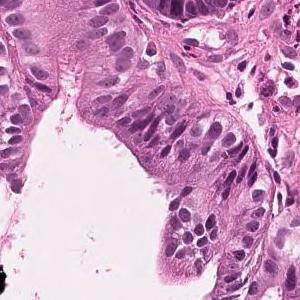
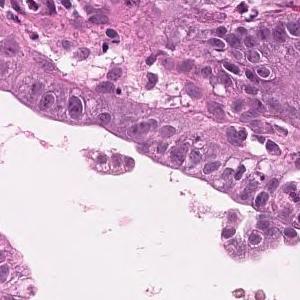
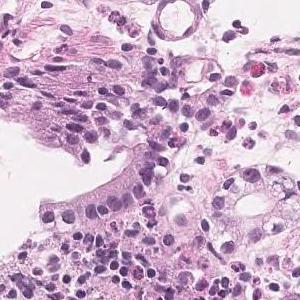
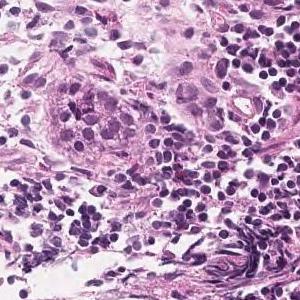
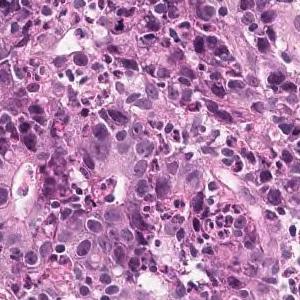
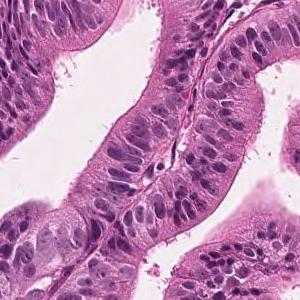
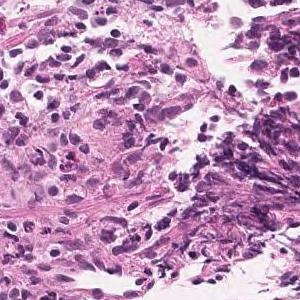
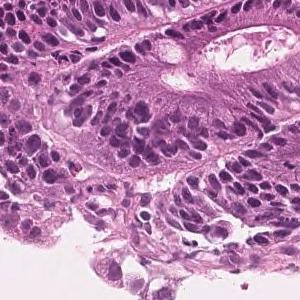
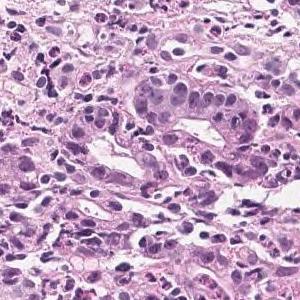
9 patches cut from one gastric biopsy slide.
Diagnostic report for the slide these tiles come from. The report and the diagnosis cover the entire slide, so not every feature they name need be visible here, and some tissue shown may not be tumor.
On the superficial epithelium, tumor tissue consisting of large, irregular glandular ducts partially fused and infiltrated is observed. Well to moderately differentiated tubular adenocarcinoma (well differentiated tubular adenocarcinoma, moderately differentiated tubular adenocarcinoma)
Tumor subtype: well to moderately differentiated tubular adenocarcinoma.
